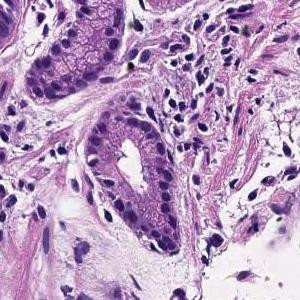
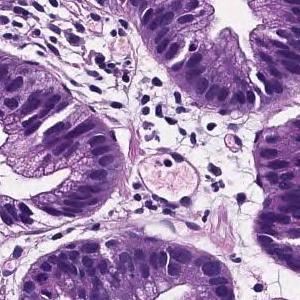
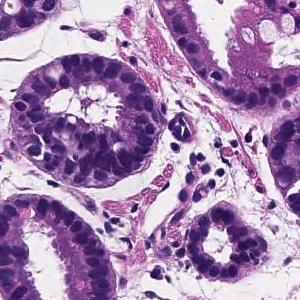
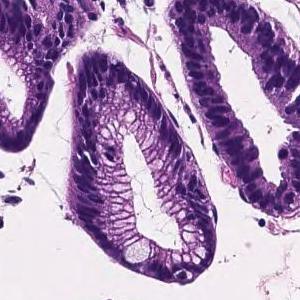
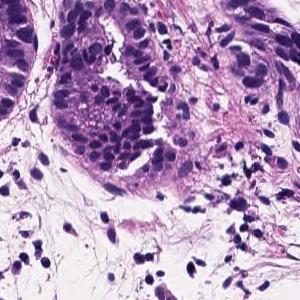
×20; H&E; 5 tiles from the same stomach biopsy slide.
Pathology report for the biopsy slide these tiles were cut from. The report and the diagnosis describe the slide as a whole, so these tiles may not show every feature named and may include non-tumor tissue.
Tumor cells are large, highly columnar, large club-shaped nuclei, and are associated with chromatin aggregation. Papillary adenocarcinoma.
